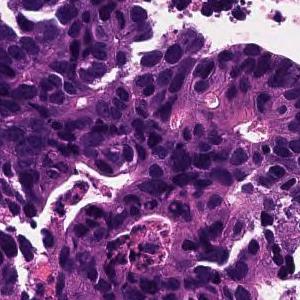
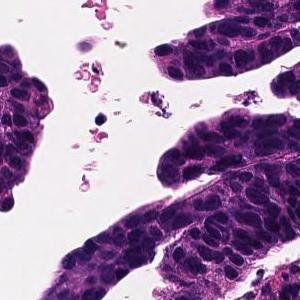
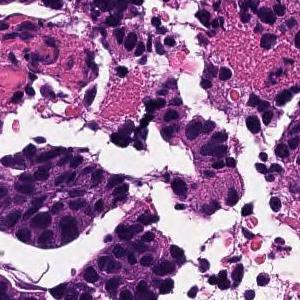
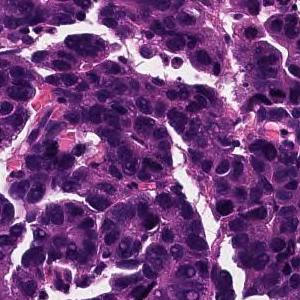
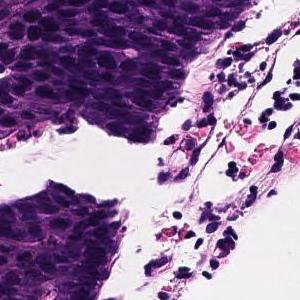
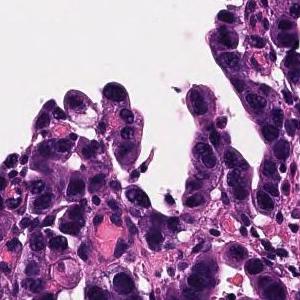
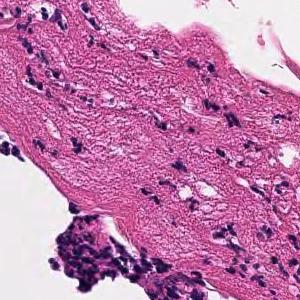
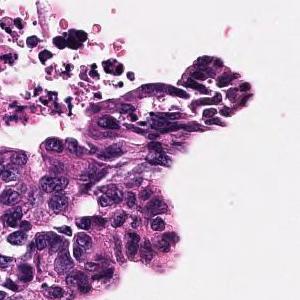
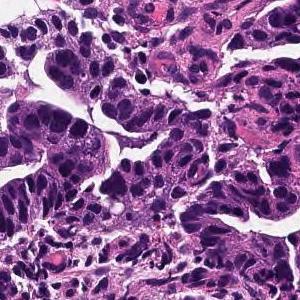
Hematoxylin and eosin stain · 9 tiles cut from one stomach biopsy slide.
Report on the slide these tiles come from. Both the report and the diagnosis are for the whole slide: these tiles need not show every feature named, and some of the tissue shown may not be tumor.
In the superficial epithelium, tumor tissue that invades by forming medium-sized to small, irregular ducts is observed. moderately differentiated tubular adenocarcinoma.
